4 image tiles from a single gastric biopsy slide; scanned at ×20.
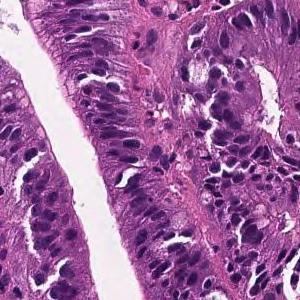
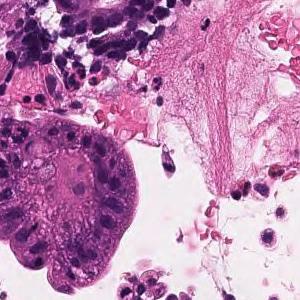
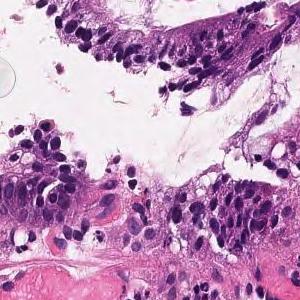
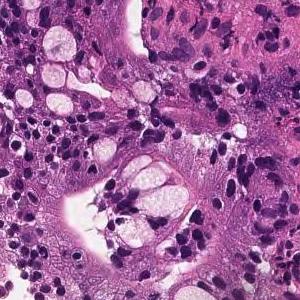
Pathology report for the slide these tiles were cut from. The report and the diagnosis describe the slide as a whole, so these tiles may not show every feature named and may include non-tumor tissue.
On the superficial epithelium, tumor tissue that infiltrates by forming medium-sized papillary or small irregular ducts is observed. Papillary adenocarcinoma
